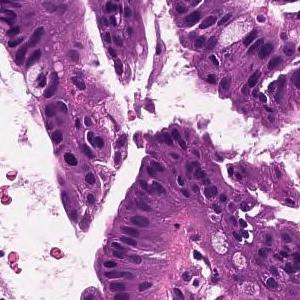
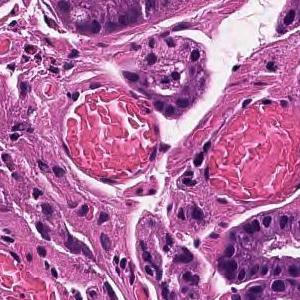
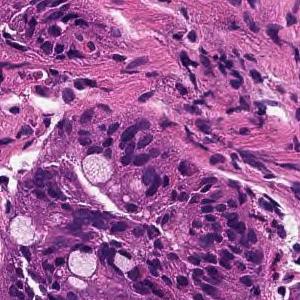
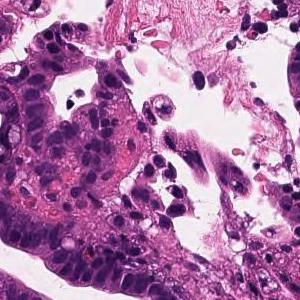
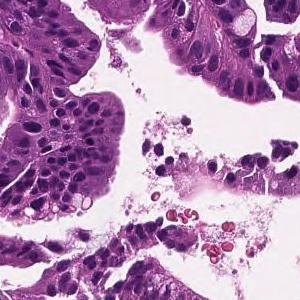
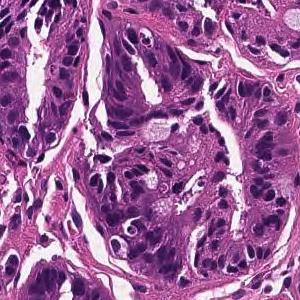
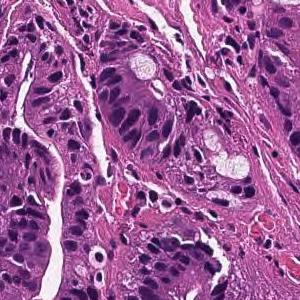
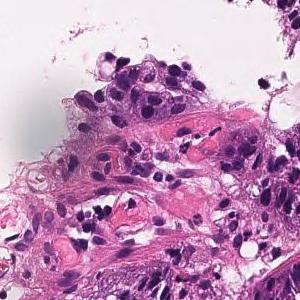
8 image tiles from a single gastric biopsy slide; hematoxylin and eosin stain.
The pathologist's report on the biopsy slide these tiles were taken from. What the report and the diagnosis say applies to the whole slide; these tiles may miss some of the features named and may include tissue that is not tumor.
On the superficial epithelium, tumor tissue that infiltrates by forming medium-sized papillary or small irregular ducts is observed. Papillary adenocarcinoma
